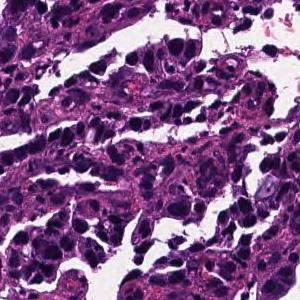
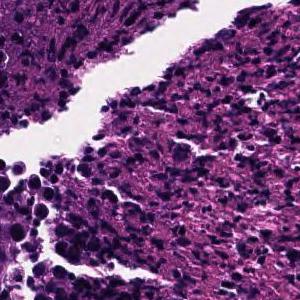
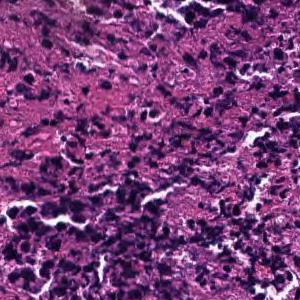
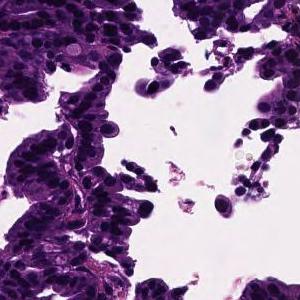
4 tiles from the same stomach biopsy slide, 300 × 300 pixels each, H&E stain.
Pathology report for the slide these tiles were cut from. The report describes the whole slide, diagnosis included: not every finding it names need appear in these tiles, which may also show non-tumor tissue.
In the superficial epithelium, tumor tissue that invades by forming medium-sized to small, irregular ducts is observed. moderately differentiated tubular adenocarcinoma.
